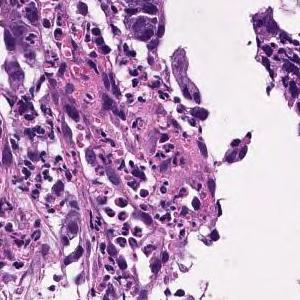
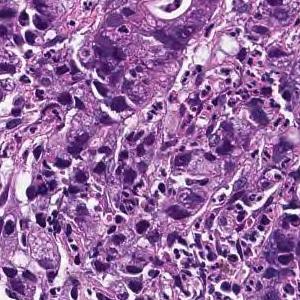
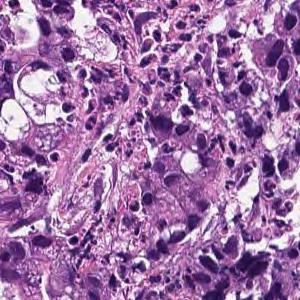
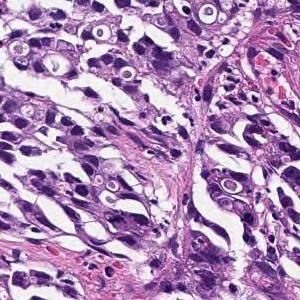
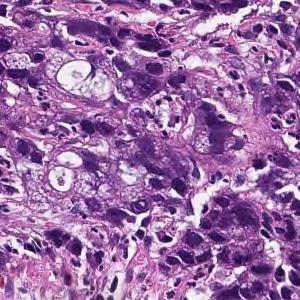
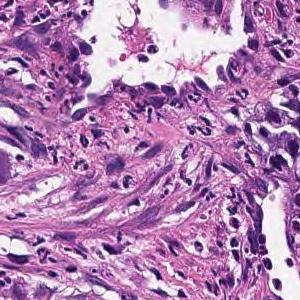
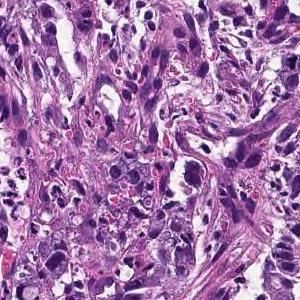
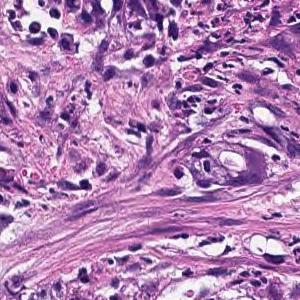
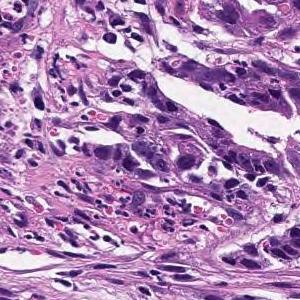
Scanned at ×20 · hematoxylin and eosin stain · 9 image tiles from a single gastric biopsy slide.
The pathologist's report on the biopsy slide these tiles were taken from. The report and the diagnosis describe the slide as a whole, so these tiles may not show every feature named and may include non-tumor tissue.
Medium to small, irregular glandular ducts are formed in the superficial epithelium, and in some cases, the glandular ducts are fused to show solid alveolar lesions and infiltrating tumor tissue is observed. Moderately to poorly differentiated adenocarcinoma.
